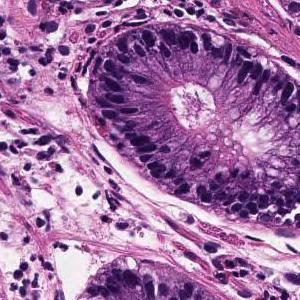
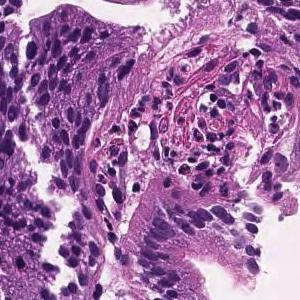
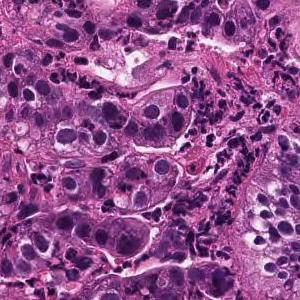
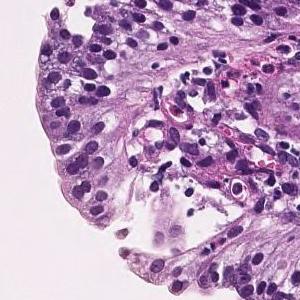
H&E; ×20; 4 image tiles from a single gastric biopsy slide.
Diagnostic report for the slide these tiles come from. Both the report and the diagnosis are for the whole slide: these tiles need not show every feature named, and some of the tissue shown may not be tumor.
In the superficial epithelium, tumor tissue that invades by forming medium-sized to small, irregular ducts is observed. moderately differentiated tubular adenocarcinoma.
